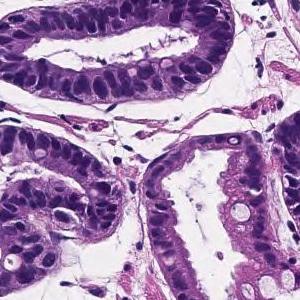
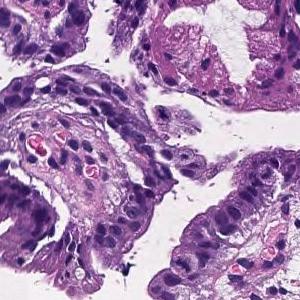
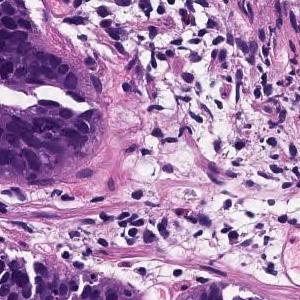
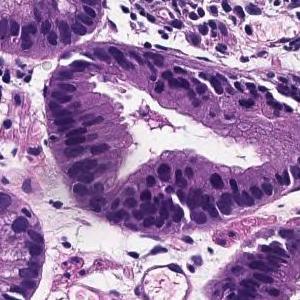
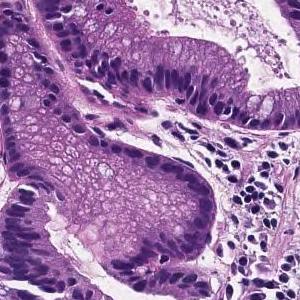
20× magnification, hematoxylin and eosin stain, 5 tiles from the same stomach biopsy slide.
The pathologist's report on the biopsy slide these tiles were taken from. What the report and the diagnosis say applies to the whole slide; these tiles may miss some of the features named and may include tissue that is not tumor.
Tumor cells are large, highly columnar, large club-shaped nuclei, and are associated with chromatin aggregation. Papillary adenocarcinoma.
